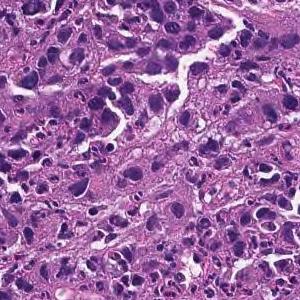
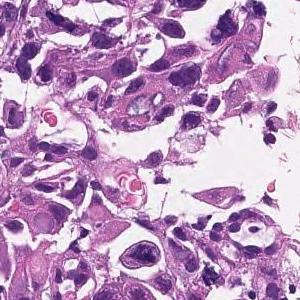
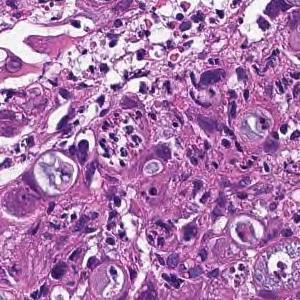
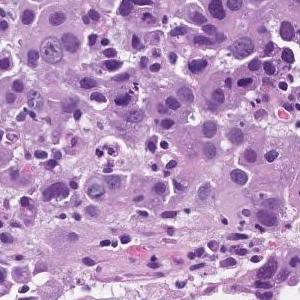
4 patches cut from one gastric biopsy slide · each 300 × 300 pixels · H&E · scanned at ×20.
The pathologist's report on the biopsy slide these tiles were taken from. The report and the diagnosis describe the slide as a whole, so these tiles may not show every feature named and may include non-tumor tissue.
The superficial epithelium shows a large sheet-like shape, and some tumor tissue infiltrates with small irregular ducts. Poorly differentiated adenocarcinoma, solid-type
Classified as poorly differentiated adenocarcinoma, solid type (Japanese Classification of Gastric Carcinoma). The WHO 2019 equivalent is tubular adenocarcinoma, poorly differentiated.
